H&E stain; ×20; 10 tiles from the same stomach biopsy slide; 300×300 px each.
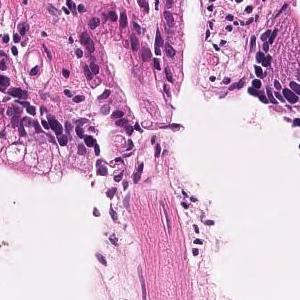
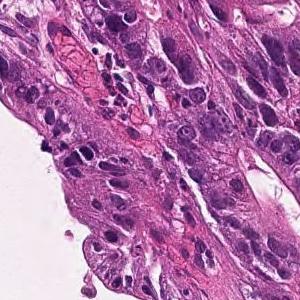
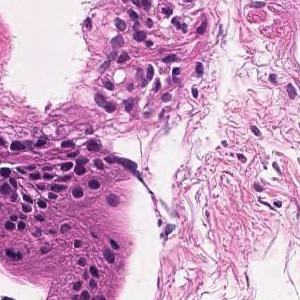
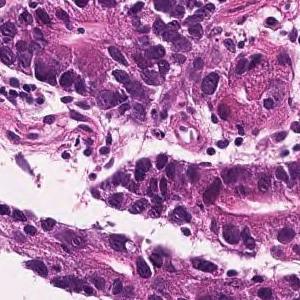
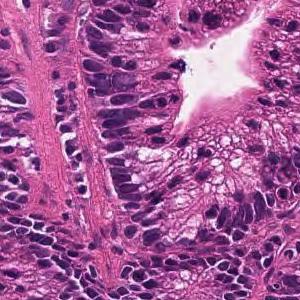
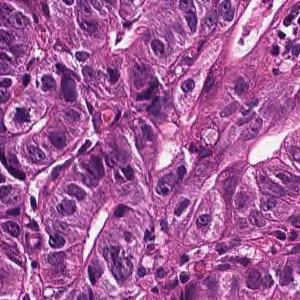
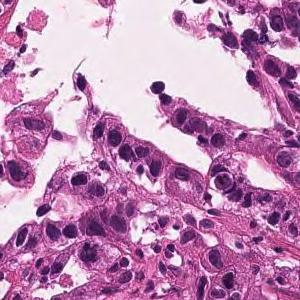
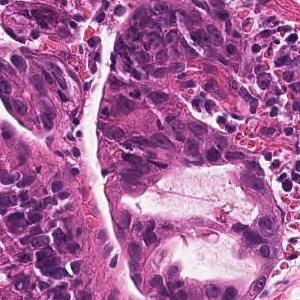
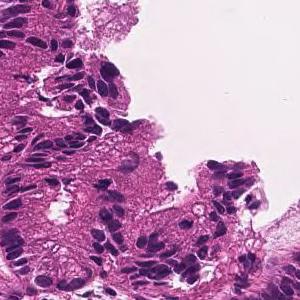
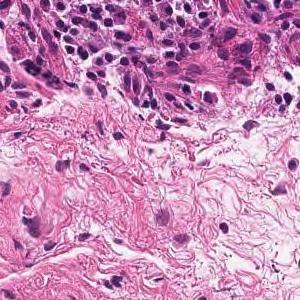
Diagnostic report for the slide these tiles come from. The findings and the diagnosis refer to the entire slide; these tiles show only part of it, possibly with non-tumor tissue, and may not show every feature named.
In the superficial epithelium, tumor tissue that invades by forming medium-sized to small, irregular ducts is observed. moderately differentiated tubular adenocarcinoma.
